Hematoxylin and eosin stain; ×20; 6 tiles cut from one stomach biopsy slide.
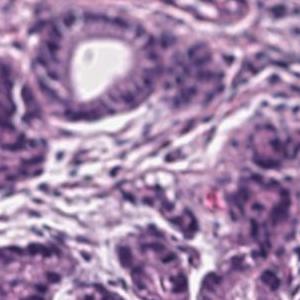
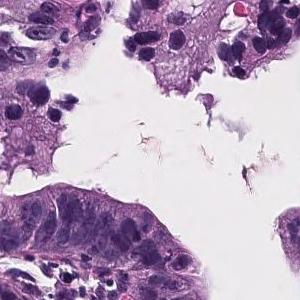
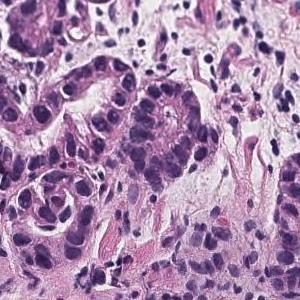
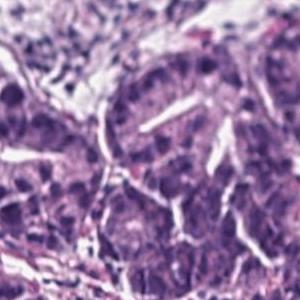
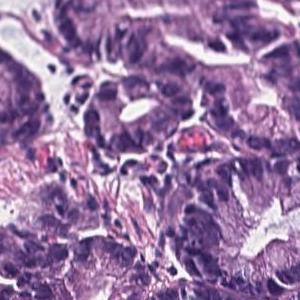
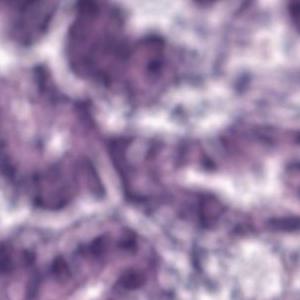
The pathologist's report on the biopsy slide these tiles were taken from. What the report and the diagnosis say applies to the whole slide; these tiles may miss some of the features named and may include tissue that is not tumor.
On the superficial epithelium, tumor tissue consisting of medium to small irregular tubules partially fused and proliferated is observed. Well differentiated tubular adenocarcinoma
